H&E stain · ×20 · 10 tiles from the same stomach biopsy slide.
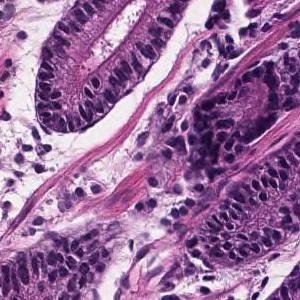
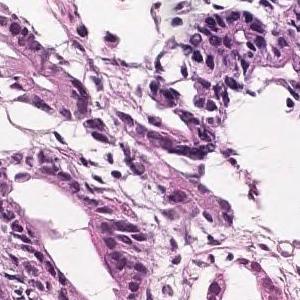
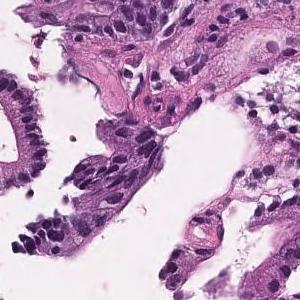
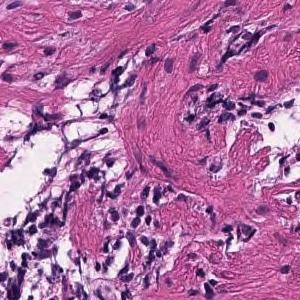
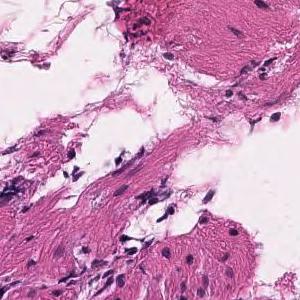
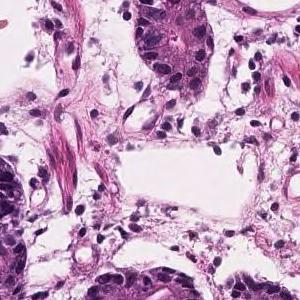
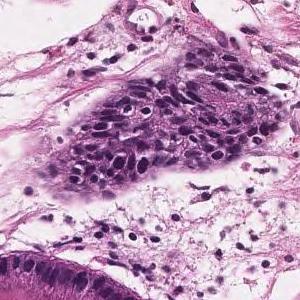
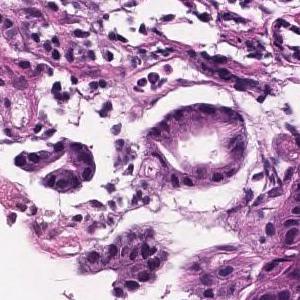
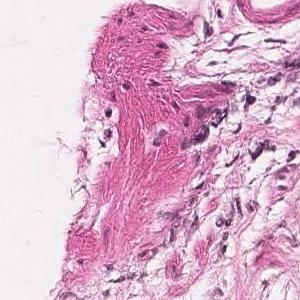
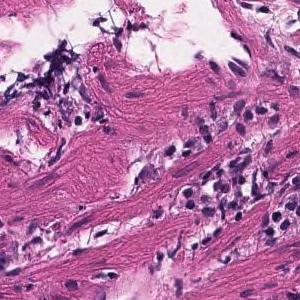
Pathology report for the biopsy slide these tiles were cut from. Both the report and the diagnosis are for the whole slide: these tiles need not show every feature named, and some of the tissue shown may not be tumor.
Tumor tissue with atypical epithelium showing irregular ductal or sieving ductal structure and proliferating is observed. Well to moderately differentiated tubular adenocarcinoma (well differentiated tubular adenocarcinoma-moderately differentiated tubular adenocarcinoma)
Subtype: Well to moderately differentiated tubular adenocarcinoma.
